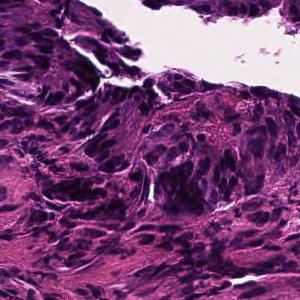
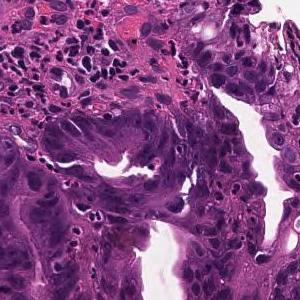
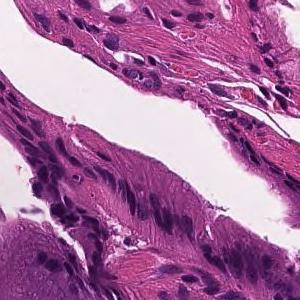
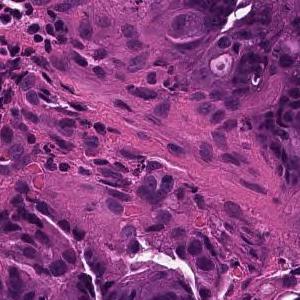
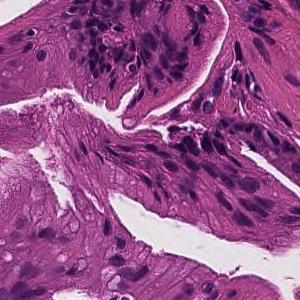
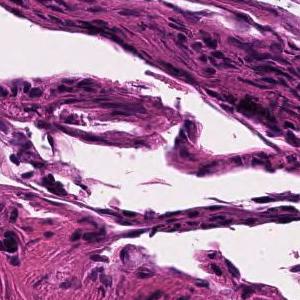
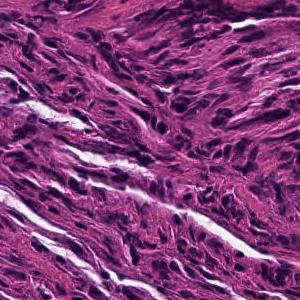
7 tiles cut from one stomach biopsy slide; 300×300 px each; H&E stain; 20× magnification.
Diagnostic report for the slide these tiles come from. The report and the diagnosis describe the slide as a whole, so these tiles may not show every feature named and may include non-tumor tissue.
Tumor cells are large, highly columnar, large club-shaped nuclei, and are associated with chromatin aggregation. Papillary adenocarcinoma.
